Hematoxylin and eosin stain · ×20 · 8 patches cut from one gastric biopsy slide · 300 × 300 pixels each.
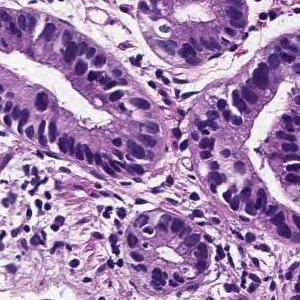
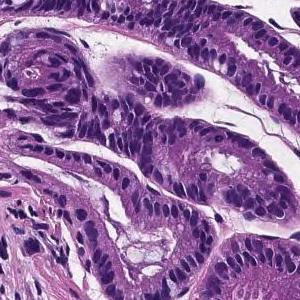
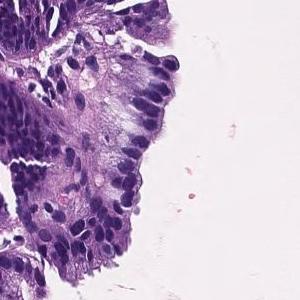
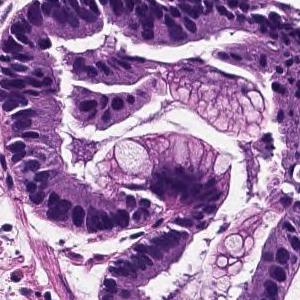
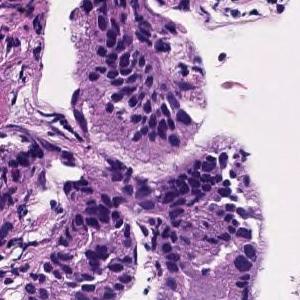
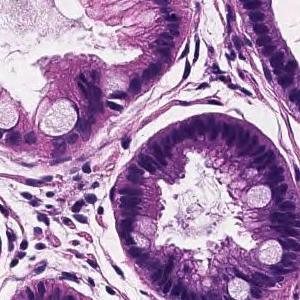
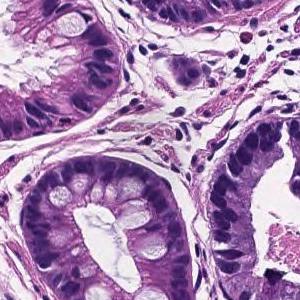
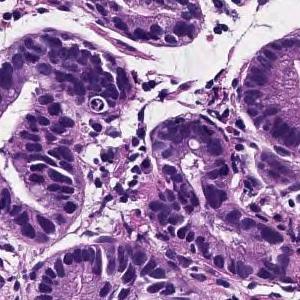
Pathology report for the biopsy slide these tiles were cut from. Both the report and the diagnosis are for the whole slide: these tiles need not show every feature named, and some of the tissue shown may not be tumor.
Tumor cells are large, highly columnar, large club-shaped nuclei, and are associated with chromatin aggregation. Papillary adenocarcinoma.
